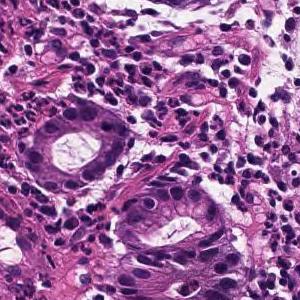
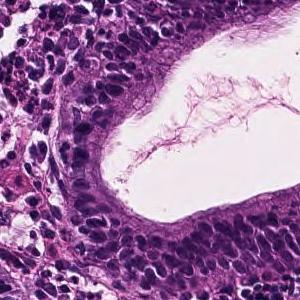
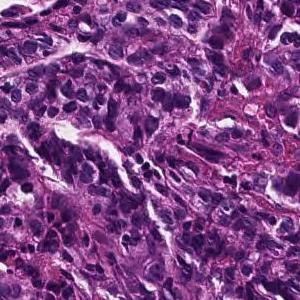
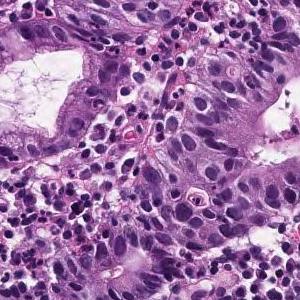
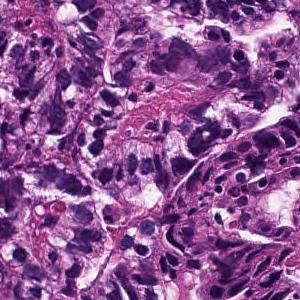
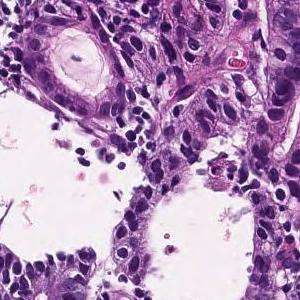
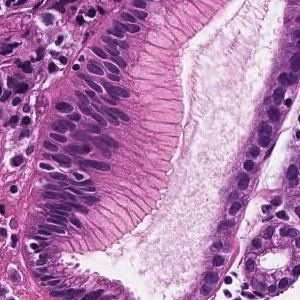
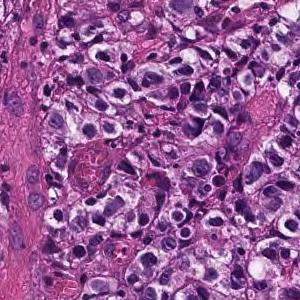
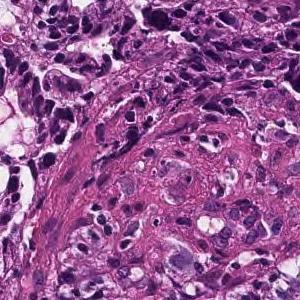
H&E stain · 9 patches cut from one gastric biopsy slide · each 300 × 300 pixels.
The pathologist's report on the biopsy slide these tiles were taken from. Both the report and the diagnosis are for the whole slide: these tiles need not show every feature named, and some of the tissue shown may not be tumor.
In the superficial epithelium, tumor tissue that invades by forming medium-sized to small, irregular ducts is observed. moderately differentiated tubular adenocarcinoma.
